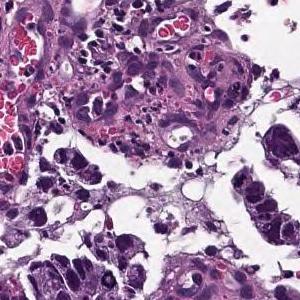
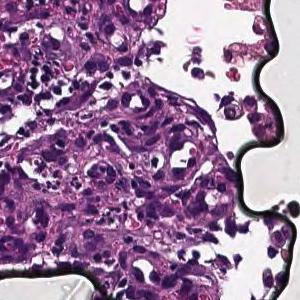
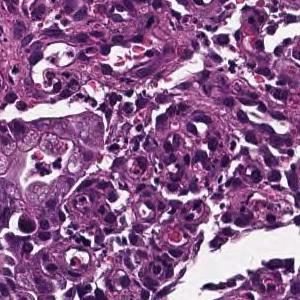
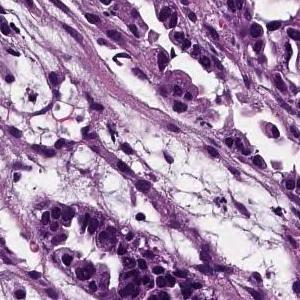
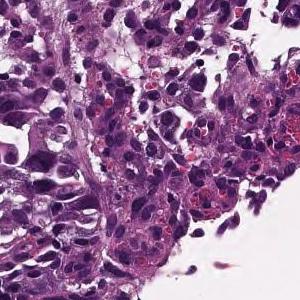
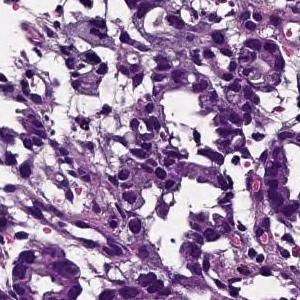
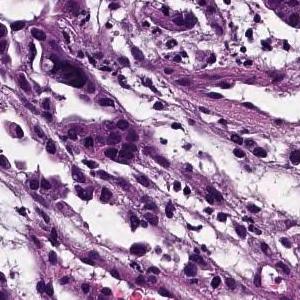
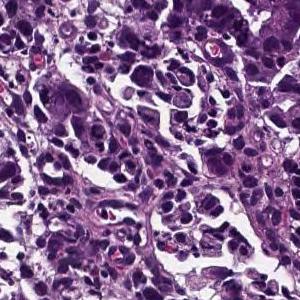
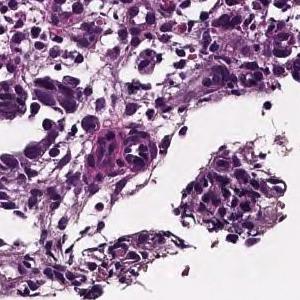
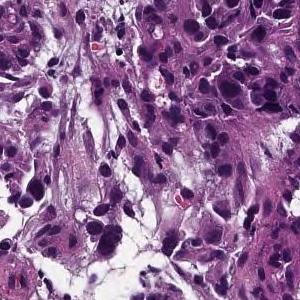
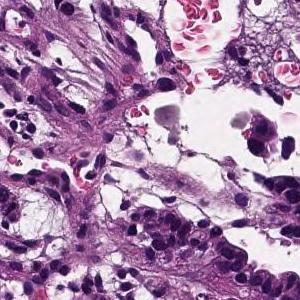
11 image tiles from a single gastric biopsy slide; 300 × 300 pixels each; ×20.
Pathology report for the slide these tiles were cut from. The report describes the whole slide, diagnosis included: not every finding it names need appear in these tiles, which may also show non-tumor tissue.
Medium to small, irregular glandular ducts are formed in the superficial epithelium, and in some cases, the glandular ducts are fused to show solid alveolar lesions and infiltrating tumor tissue is observed. Moderately to poorly differentiated adenocarcinoma.
